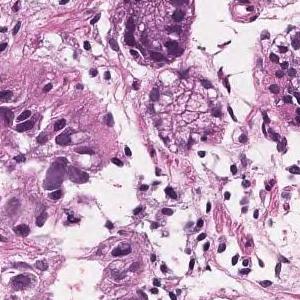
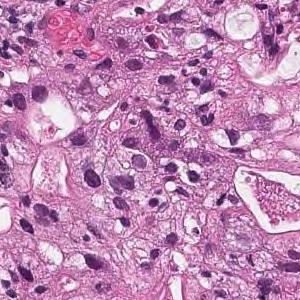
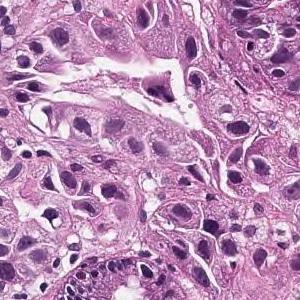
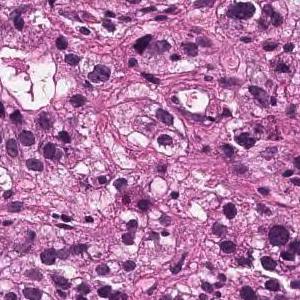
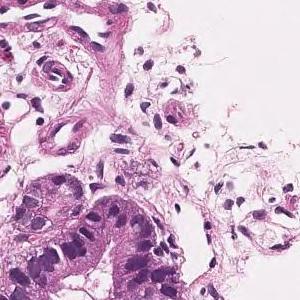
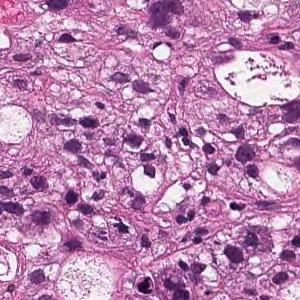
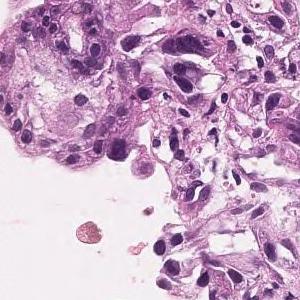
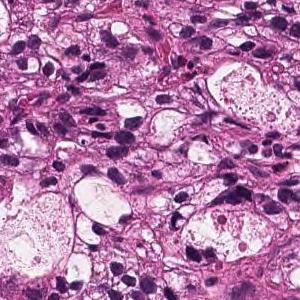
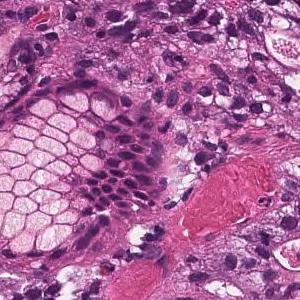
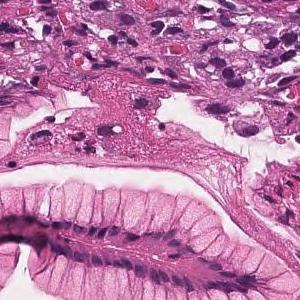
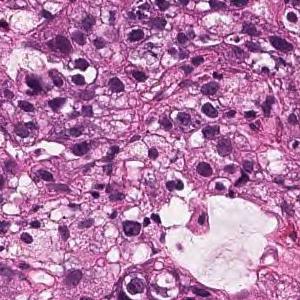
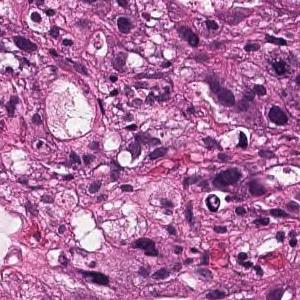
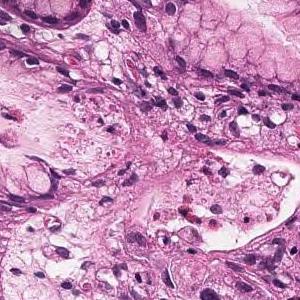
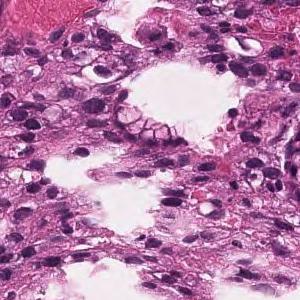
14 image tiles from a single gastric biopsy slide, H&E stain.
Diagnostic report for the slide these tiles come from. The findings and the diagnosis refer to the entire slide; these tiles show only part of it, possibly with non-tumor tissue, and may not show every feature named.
Medium to small, irregular glandular ducts are formed in the superficial epithelium, and in some cases, the glandular ducts are fused to show solid alveolar lesions and infiltrating tumor tissue is observed. Moderately to poorly differentiated adenocarcinoma.
